4 image tiles from a single gastric biopsy slide, 300 × 300 pixels each, H&E stain, ×20.
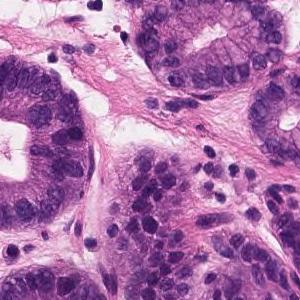
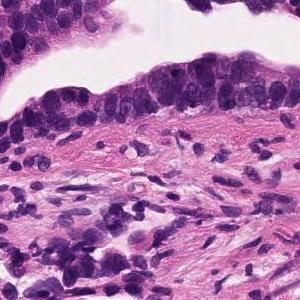
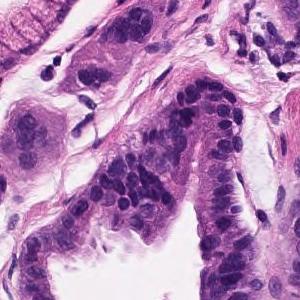
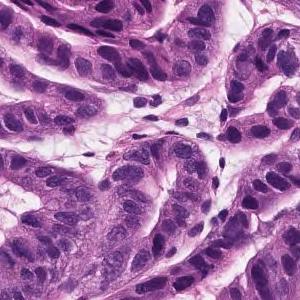
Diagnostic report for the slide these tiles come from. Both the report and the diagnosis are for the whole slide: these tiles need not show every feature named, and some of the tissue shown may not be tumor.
Atypical epithelium with tight nuclei shows irregular or sieving duct construction and proliferates. Well to moderately differentiated tubular adenocarcinoma (well differentiated tubular adenocarcinoma-moderately differentiated tubular adenocarcinoma)
Subtype: Well to moderately differentiated tubular adenocarcinoma.
